15 image tiles from a single gastric biopsy slide, 300×300 px each, scanned at ×20, H&E stain.
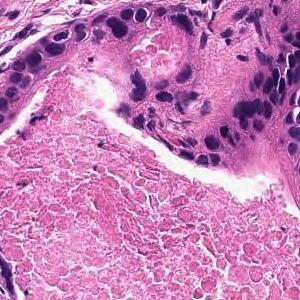
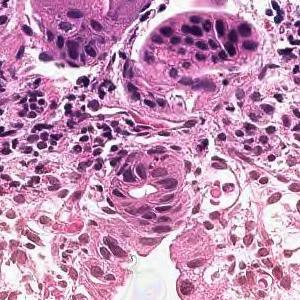
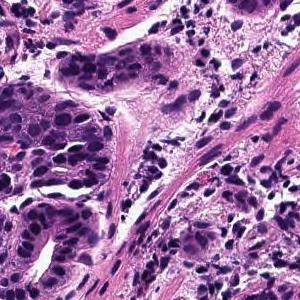
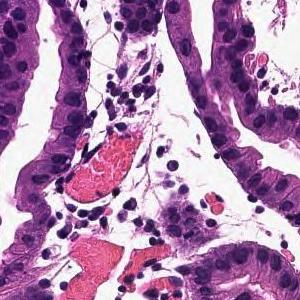
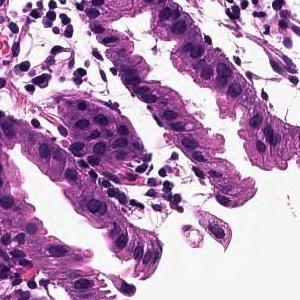
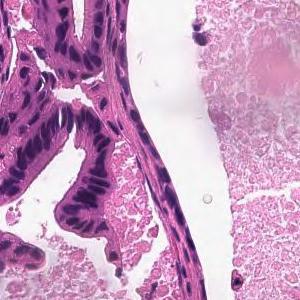
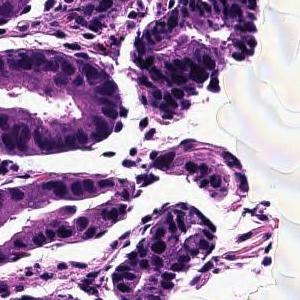
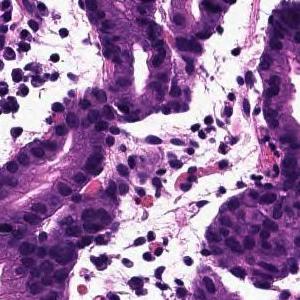
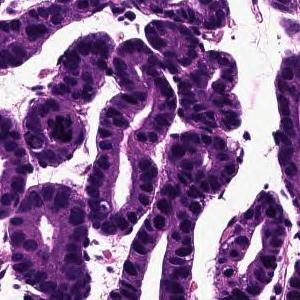
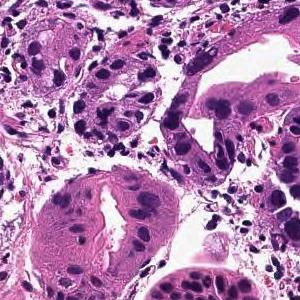
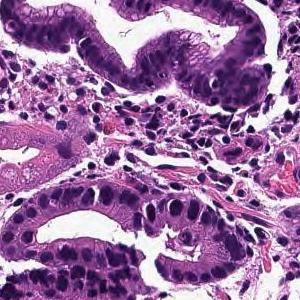
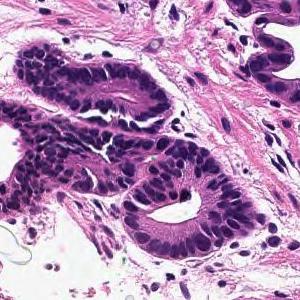
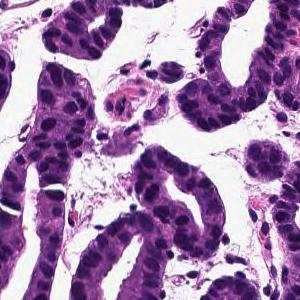
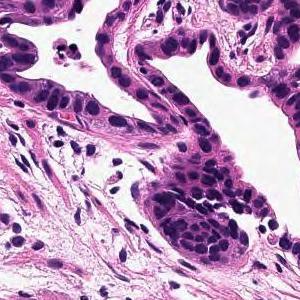
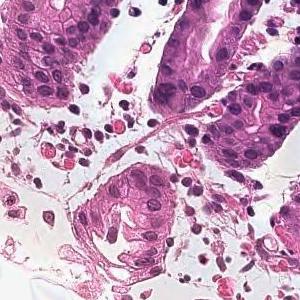
The pathologist's report on the biopsy slide these tiles were taken from. Both the report and the diagnosis are for the whole slide: these tiles need not show every feature named, and some of the tissue shown may not be tumor.
From the superficial epithelium to the muscularis mucosae, tumor tissue consisting of medium-sized and irregular glandular ducts infiltrating is observed. Well differentiated tubular adenocarcinoma
